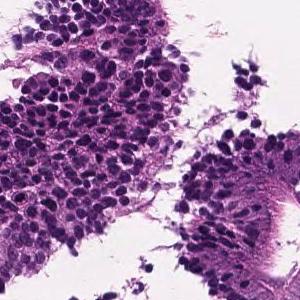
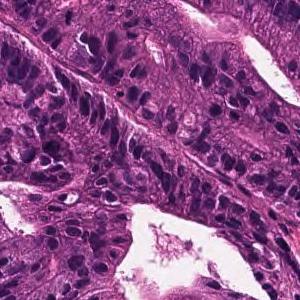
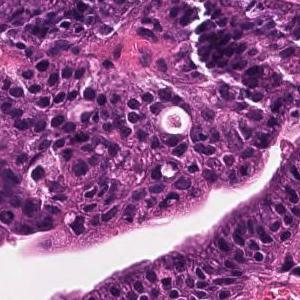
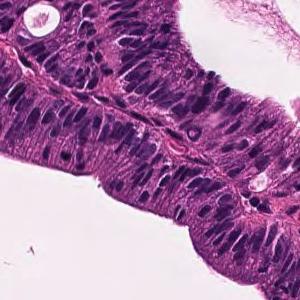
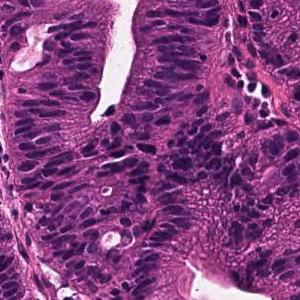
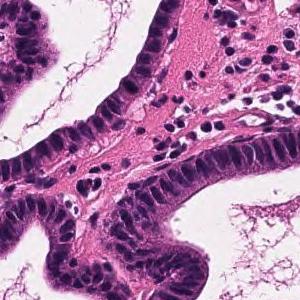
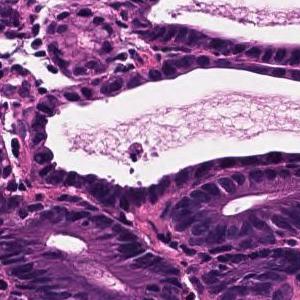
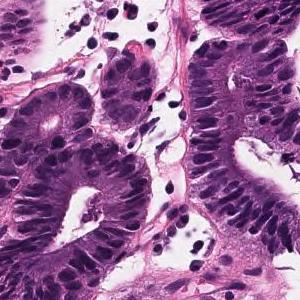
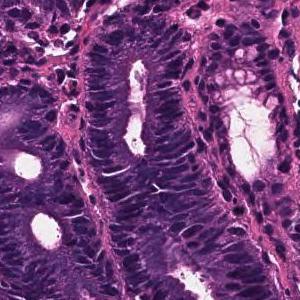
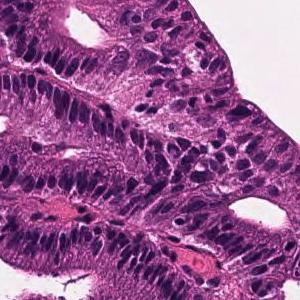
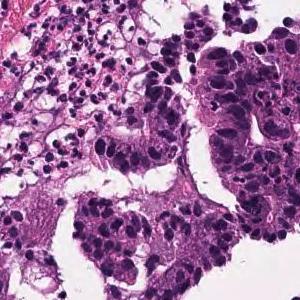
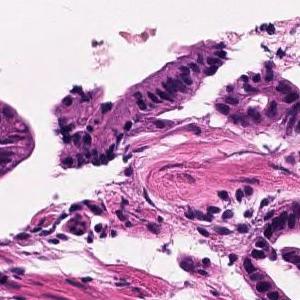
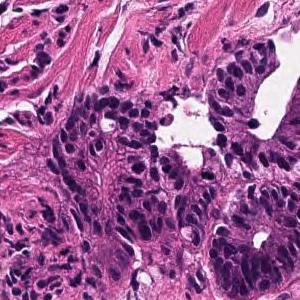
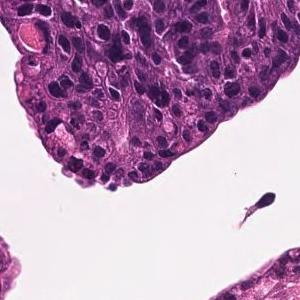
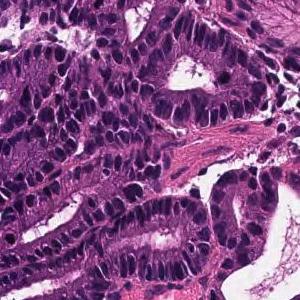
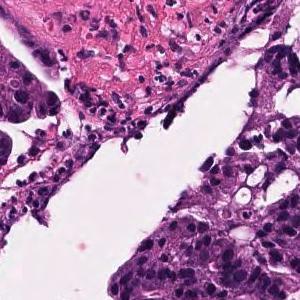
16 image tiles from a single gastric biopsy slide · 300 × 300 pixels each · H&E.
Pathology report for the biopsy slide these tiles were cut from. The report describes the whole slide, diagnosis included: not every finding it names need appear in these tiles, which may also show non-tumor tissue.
Tumor tissue that remains within the superficial epithelium and is infiltrated by large papillary or irregular ducts that fuse with each other is observed. Well differentiated tubular adenocarcinoma
